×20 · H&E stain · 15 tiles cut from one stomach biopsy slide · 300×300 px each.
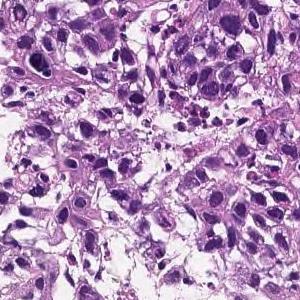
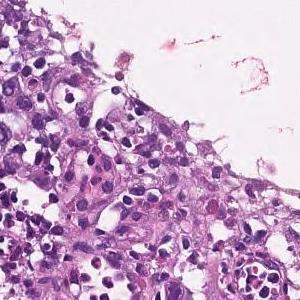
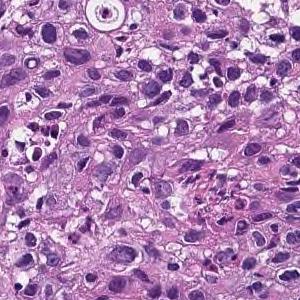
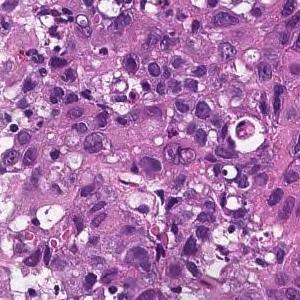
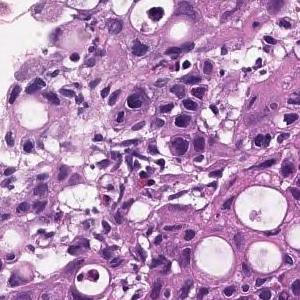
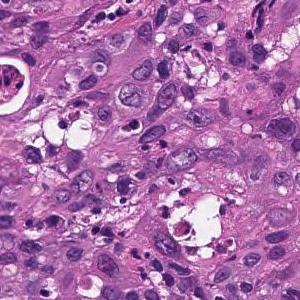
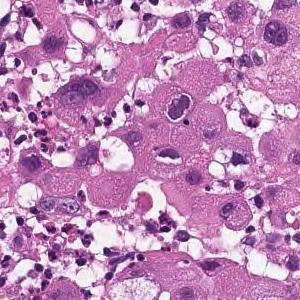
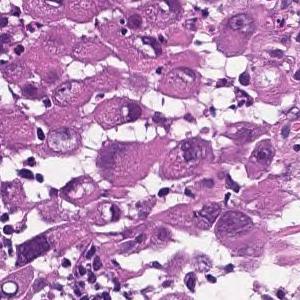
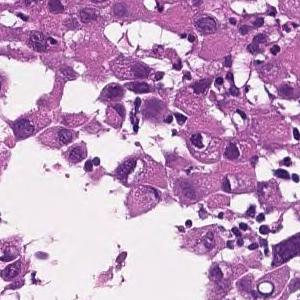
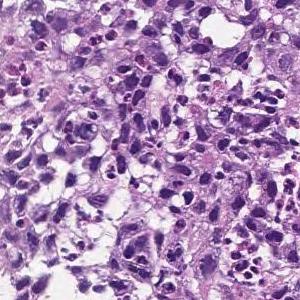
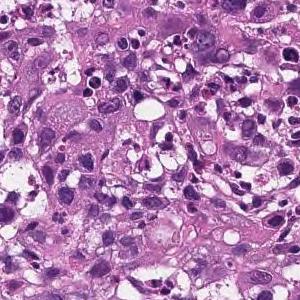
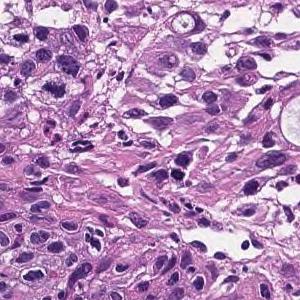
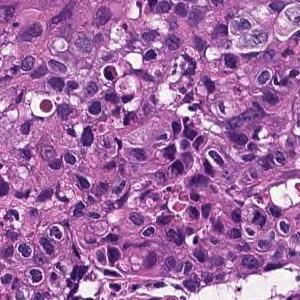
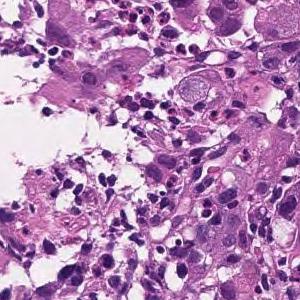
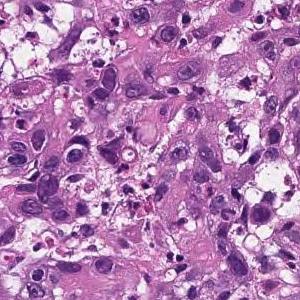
The pathologist's report on the biopsy slide these tiles were taken from. The report and the diagnosis describe the slide as a whole, so these tiles may not show every feature named and may include non-tumor tissue.
The superficial epithelium shows a large sheet-like shape, and some tumor tissue infiltrates with small irregular ducts. Poorly differentiated adenocarcinoma, solid-type
Tumor subtype: poorly differentiated adenocarcinoma, solid type, a category of the Japanese Classification of Gastric Carcinoma; in the WHO 2019 classification it is tubular adenocarcinoma, poorly differentiated.
